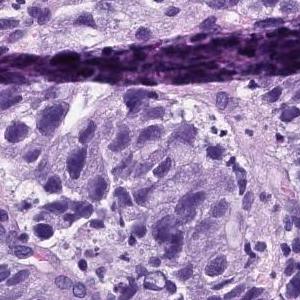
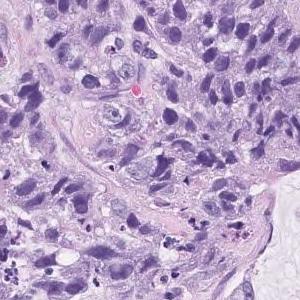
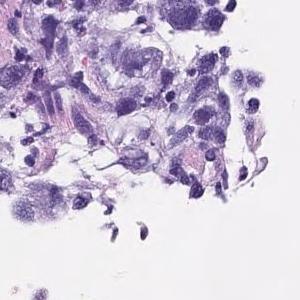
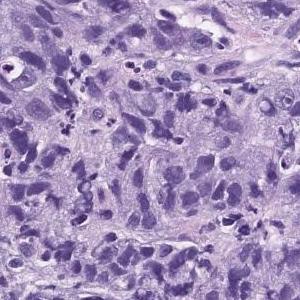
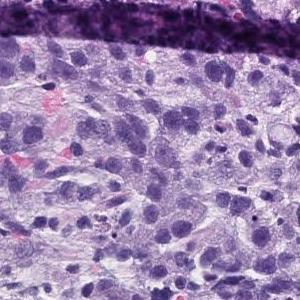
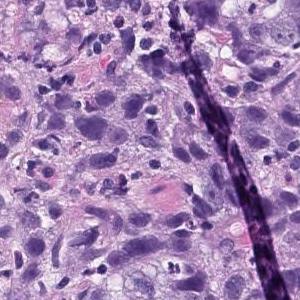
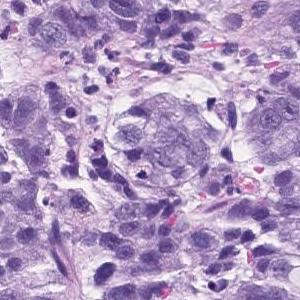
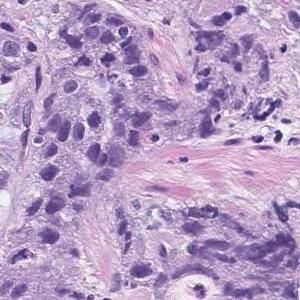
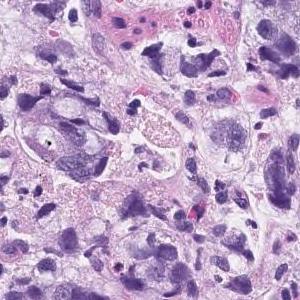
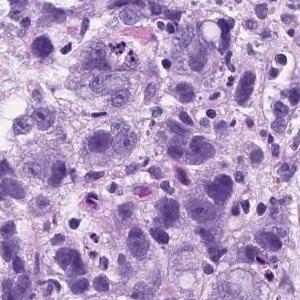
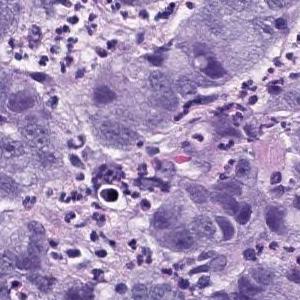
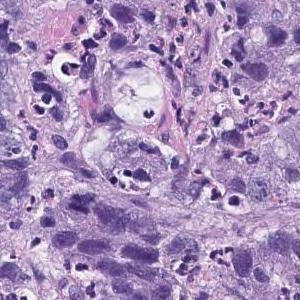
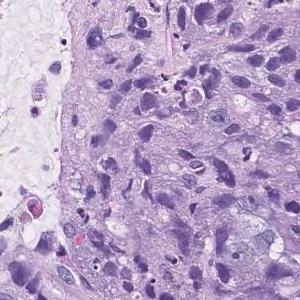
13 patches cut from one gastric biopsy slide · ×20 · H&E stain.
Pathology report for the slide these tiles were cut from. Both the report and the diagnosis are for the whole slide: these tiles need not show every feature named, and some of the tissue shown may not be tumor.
Atypical l cells with atypical nuclei forming solid vesicles or small irregular atypical ducts that proliferate in a complex manner. poorly differentiated adenocarcinoma, solid type, moderately differentiated tubular adenocarcinoma
The solid type named here is a Japanese Classification of Gastric Carcinoma category; WHO 2019 calls it tubular adenocarcinoma, poorly differentiated.
